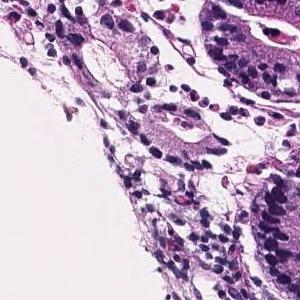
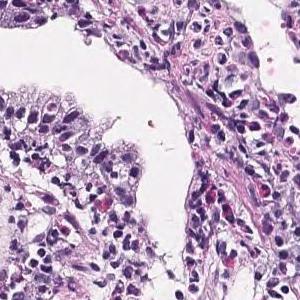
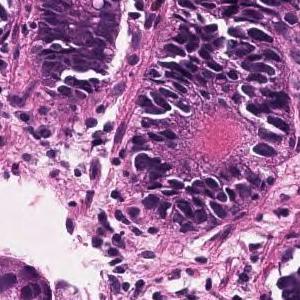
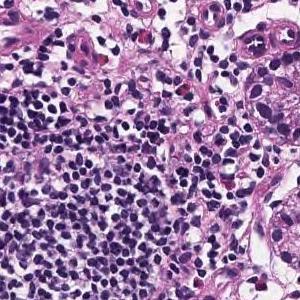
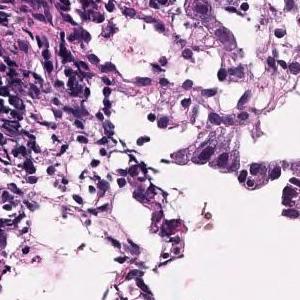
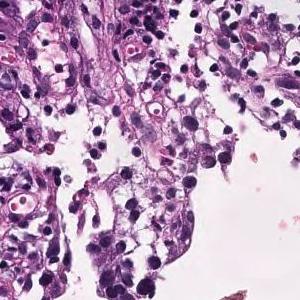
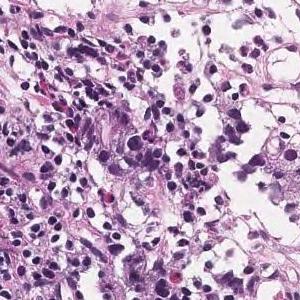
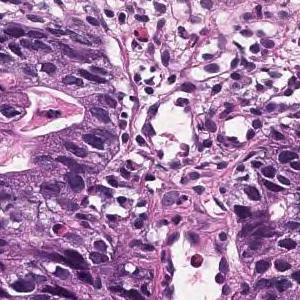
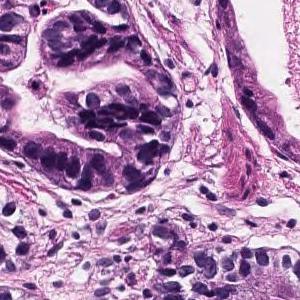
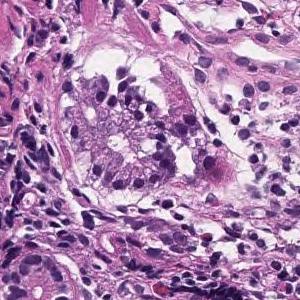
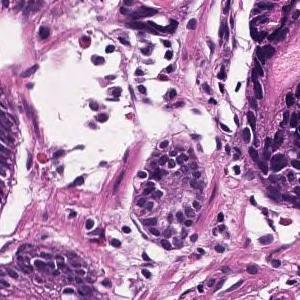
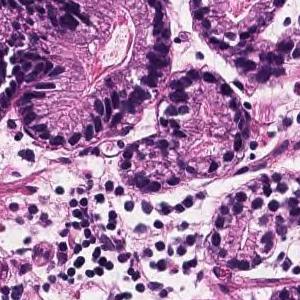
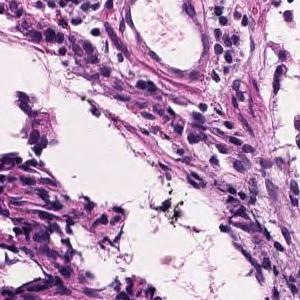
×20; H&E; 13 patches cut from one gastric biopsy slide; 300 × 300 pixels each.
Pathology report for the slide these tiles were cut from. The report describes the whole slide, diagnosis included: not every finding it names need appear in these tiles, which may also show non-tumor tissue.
Tumor tissue consisting of medium-sized and irregular ducts is observed infiltrating in the superficial epithelium. Tumor cells are highly columnar, with nuclei aligned basolaterally and polarized. Well differentiated tubular adenocarcinoma.
